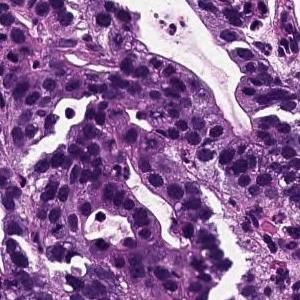
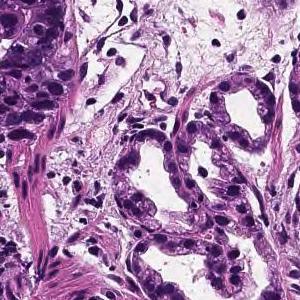
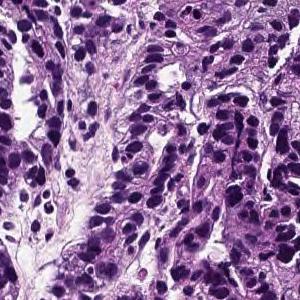
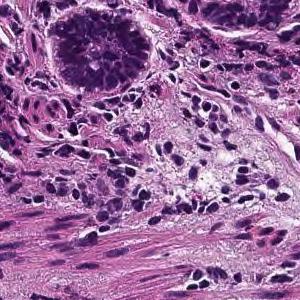
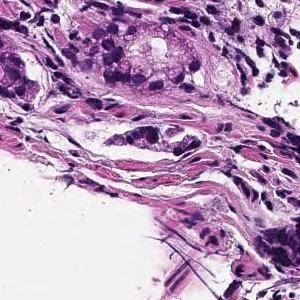
Scanned at ×20 · H&E stain · 5 tiles cut from one stomach biopsy slide · 300 × 300 pixels each.
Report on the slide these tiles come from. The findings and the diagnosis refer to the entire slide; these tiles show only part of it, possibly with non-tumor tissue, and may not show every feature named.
On the superficial epithelium, tumor tissue is found in which medium-sized irregular gland ducts fuse with each other and infiltrate. moderately differentiated tubular adenocarcinoma
